Hematoxylin and eosin stain, ×20, 9 image tiles from a single gastric biopsy slide, 300×300 px each.
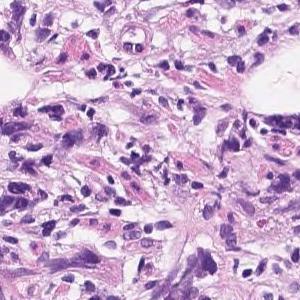
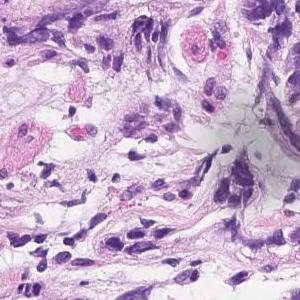
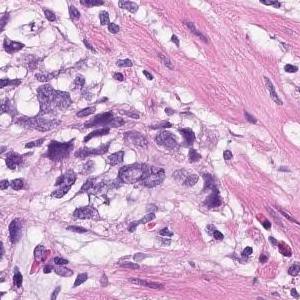
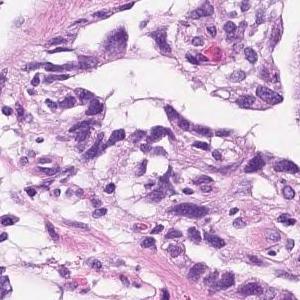
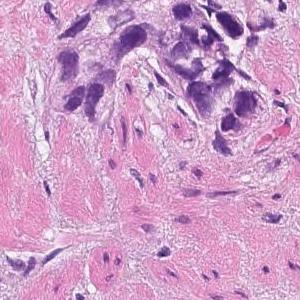
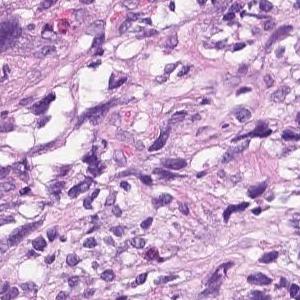
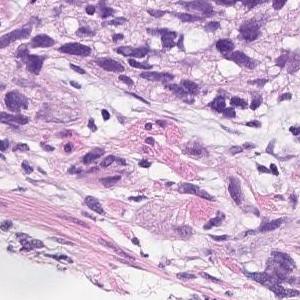
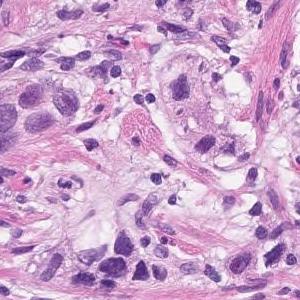
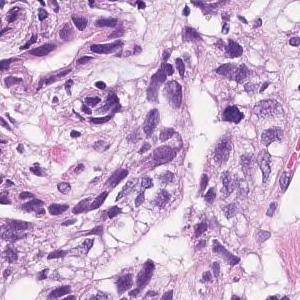
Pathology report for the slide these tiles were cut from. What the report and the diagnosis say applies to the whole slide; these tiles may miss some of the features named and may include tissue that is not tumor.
In the superficial epithelium, tumor tissue that invades by forming medium-sized to small, irregular ducts is observed. Moderately differentiated adenocarcinoma.
Tumor subtype: moderately differentiated tubular adenocarcinoma.
